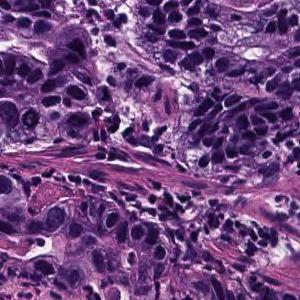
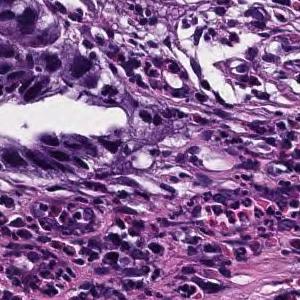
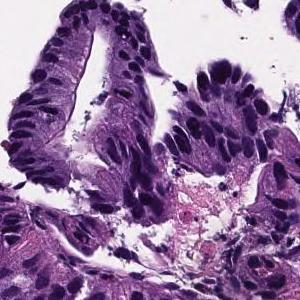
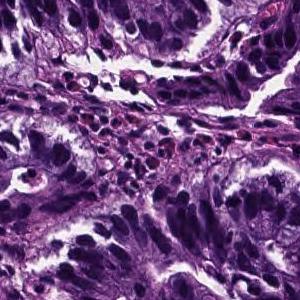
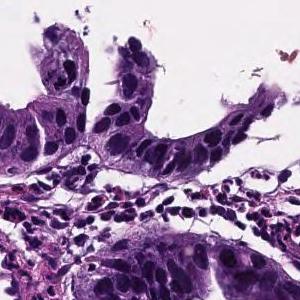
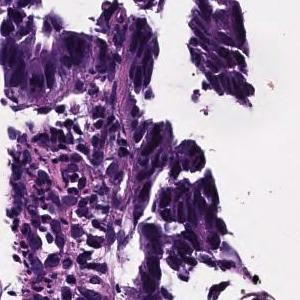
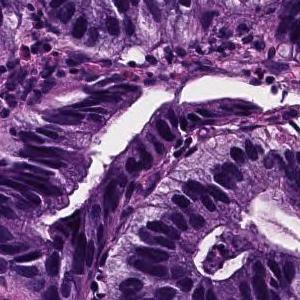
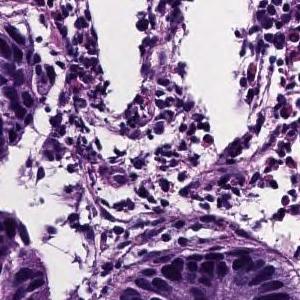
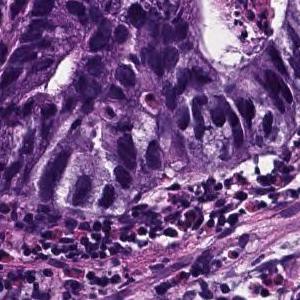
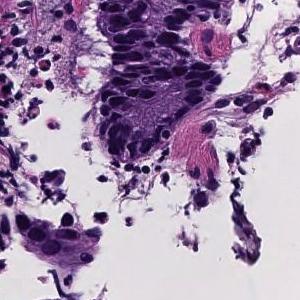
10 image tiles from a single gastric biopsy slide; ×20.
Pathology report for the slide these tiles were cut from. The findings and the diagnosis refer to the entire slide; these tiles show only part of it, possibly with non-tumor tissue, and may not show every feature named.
In the superficial epithelium, tumor tissue that invades by forming medium-sized to small, irregular ducts is observed. Moderately differentiated adenocarcinoma.
Histological subtype: Moderately differentiated tubular adenocarcinoma.
